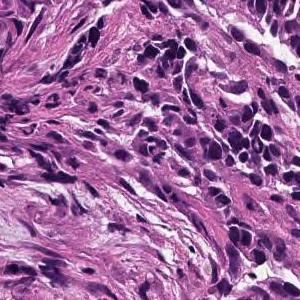
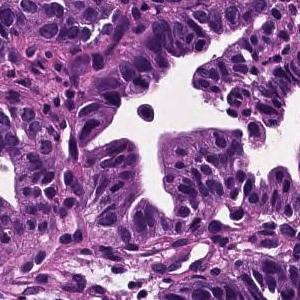
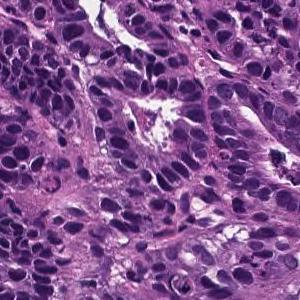
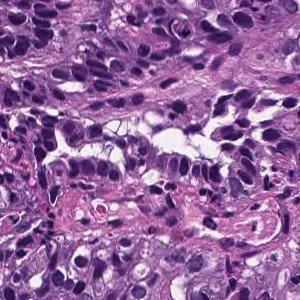
4 tiles from the same stomach biopsy slide.
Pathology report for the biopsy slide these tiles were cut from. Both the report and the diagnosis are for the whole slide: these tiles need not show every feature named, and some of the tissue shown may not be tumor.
Tumor cells are large, highly columnar, large club-shaped nuclei, and are associated with chromatin aggregation. Papillary adenocarcinoma.
